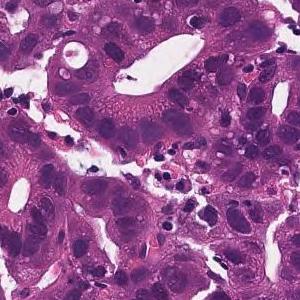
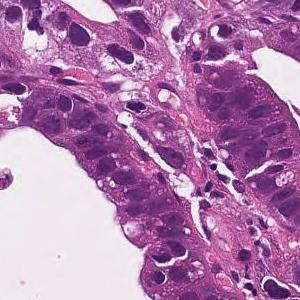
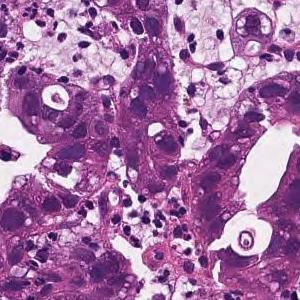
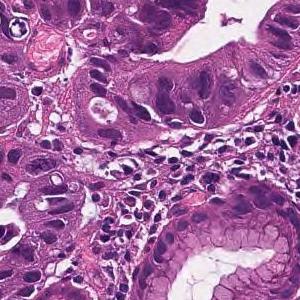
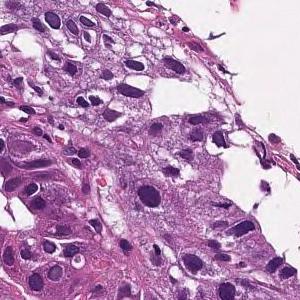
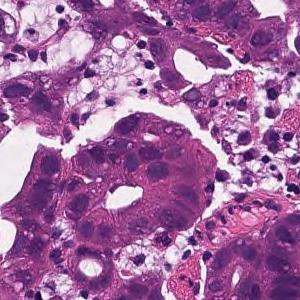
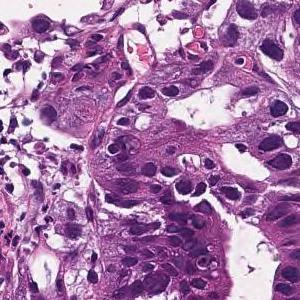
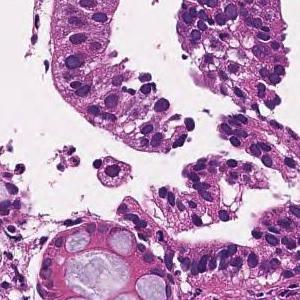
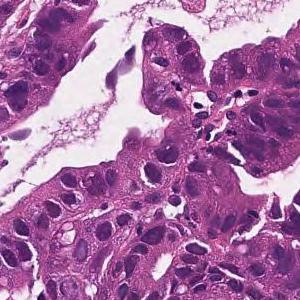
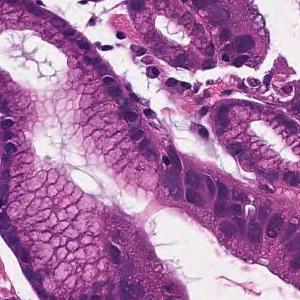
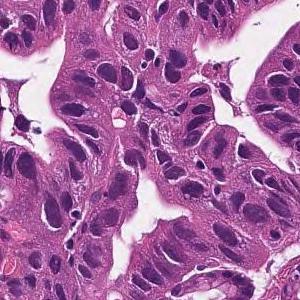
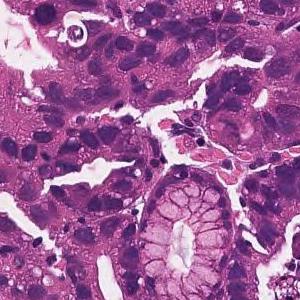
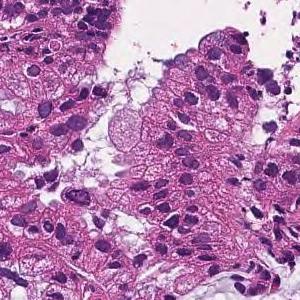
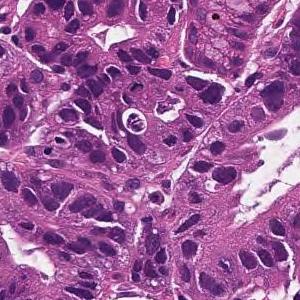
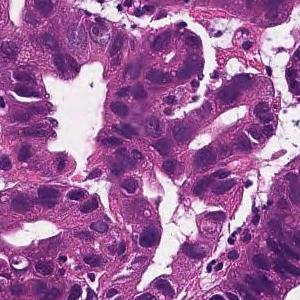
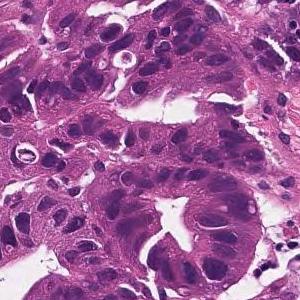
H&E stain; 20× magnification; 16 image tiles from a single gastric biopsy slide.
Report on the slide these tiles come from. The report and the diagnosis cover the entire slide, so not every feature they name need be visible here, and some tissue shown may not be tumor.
In the superficial epithelium, tumor tissue that invades by forming medium-sized to small, irregular ducts is observed. moderately differentiated tubular adenocarcinoma.
